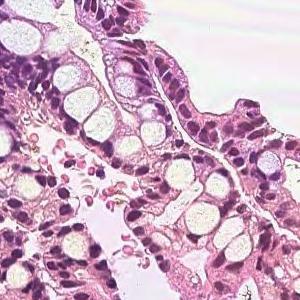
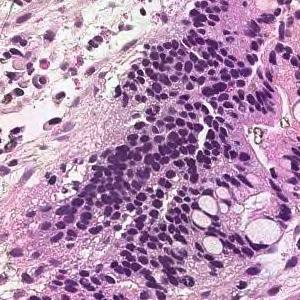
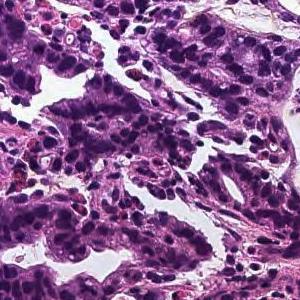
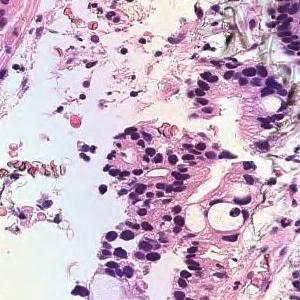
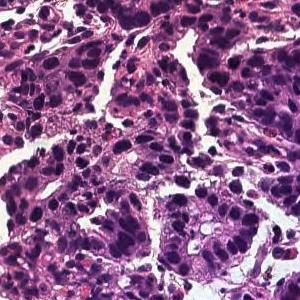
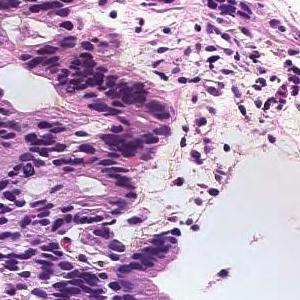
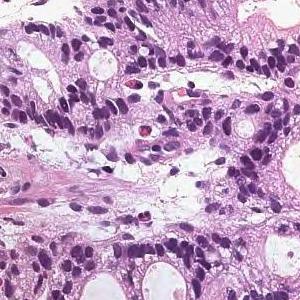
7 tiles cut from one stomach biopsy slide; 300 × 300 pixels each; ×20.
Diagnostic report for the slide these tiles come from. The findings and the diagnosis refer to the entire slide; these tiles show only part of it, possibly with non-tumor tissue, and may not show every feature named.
In the superficial epithelium, tumor tissue that invades by forming medium-sized to small, irregular ducts is observed. moderately differentiated tubular adenocarcinoma.
